16 image tiles from a single gastric biopsy slide · ×20 · hematoxylin and eosin stain.
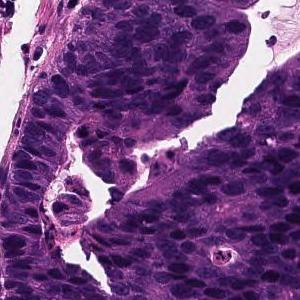
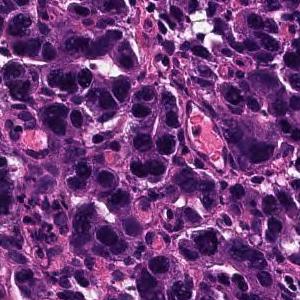
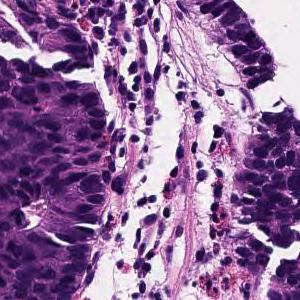
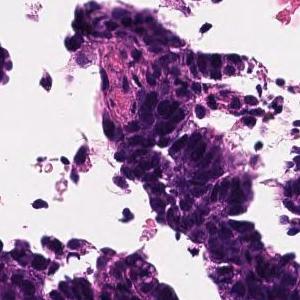
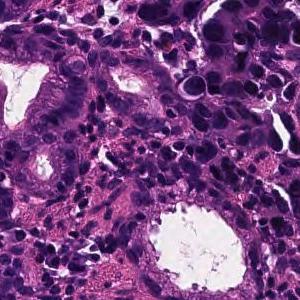
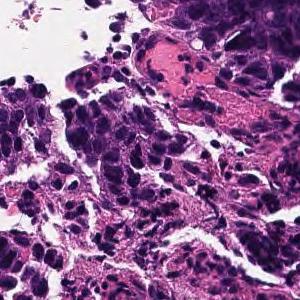
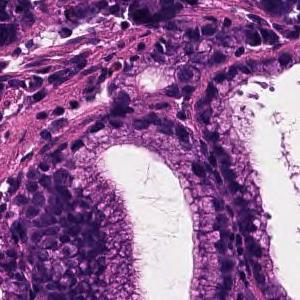
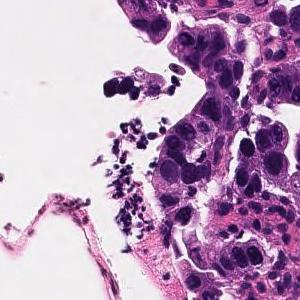
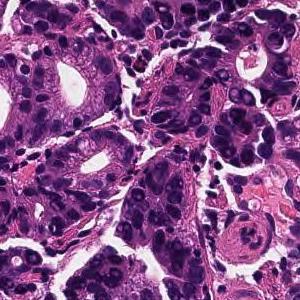
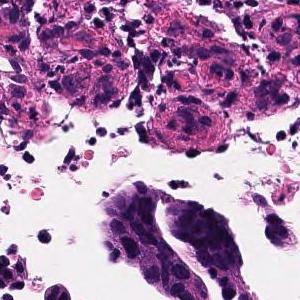
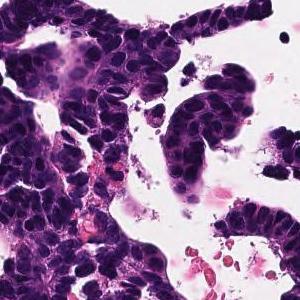
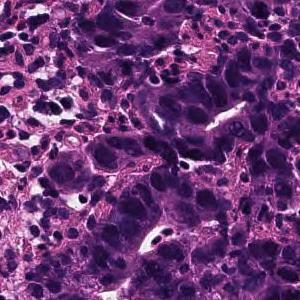
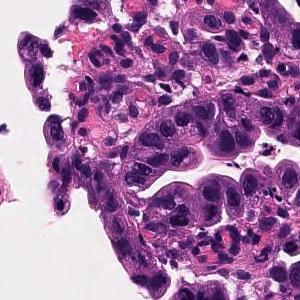
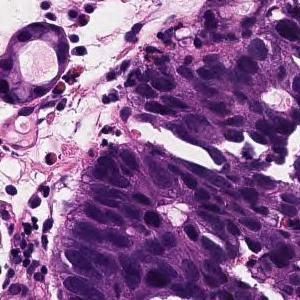
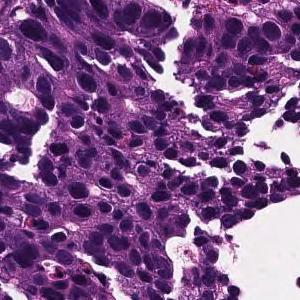
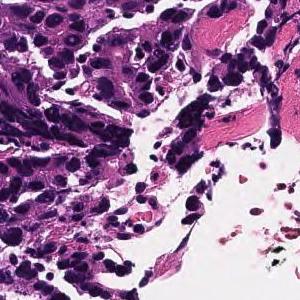
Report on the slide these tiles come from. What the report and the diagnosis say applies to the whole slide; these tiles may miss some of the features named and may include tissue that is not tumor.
In the superficial epithelium, tumor tissue that invades by forming medium-sized to small, irregular ducts is observed. moderately differentiated tubular adenocarcinoma.
